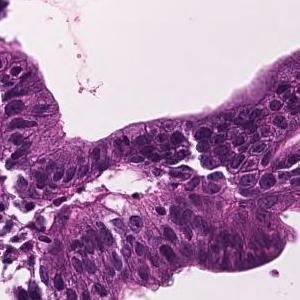
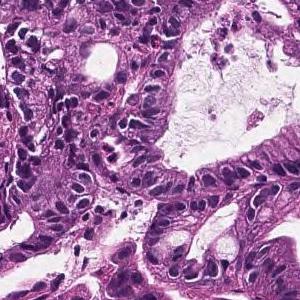
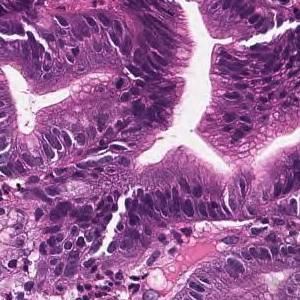
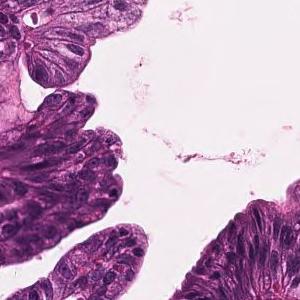
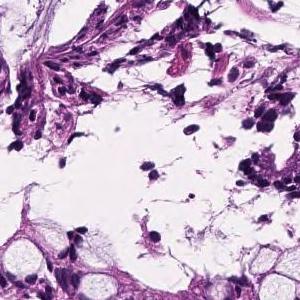
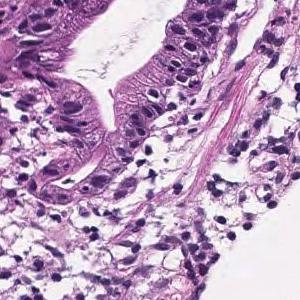
Scanned at ×20, 6 tiles cut from one stomach biopsy slide, 300 × 300 pixels each.
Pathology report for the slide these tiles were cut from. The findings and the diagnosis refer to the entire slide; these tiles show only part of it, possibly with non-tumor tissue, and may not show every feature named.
In the superficial epithelium, tumor tissue that invades by forming medium-sized to small, irregular ducts is observed. Well differentiated tubular adenocarcinoma.
